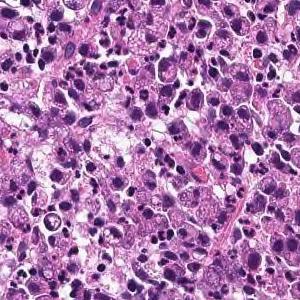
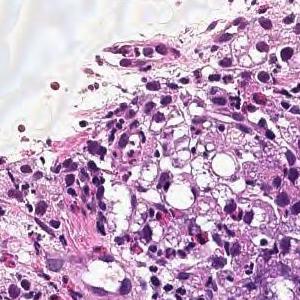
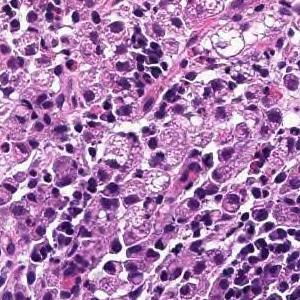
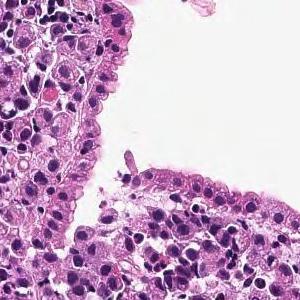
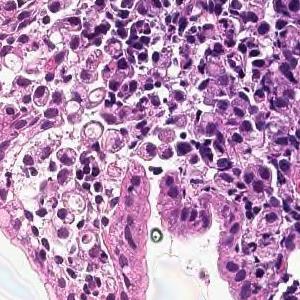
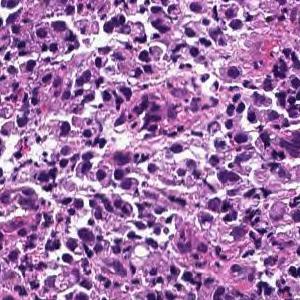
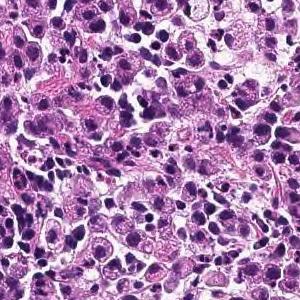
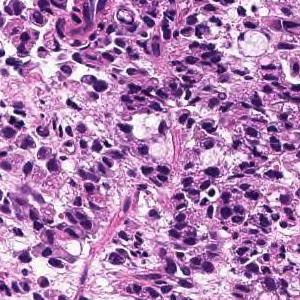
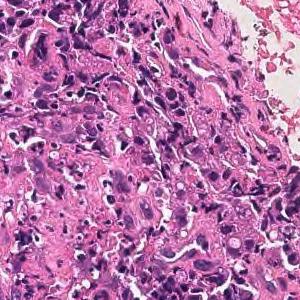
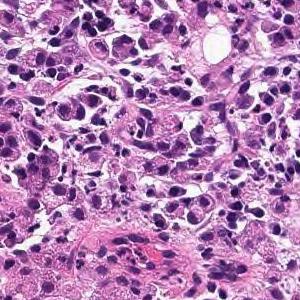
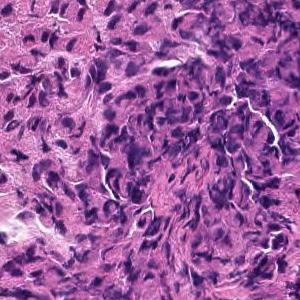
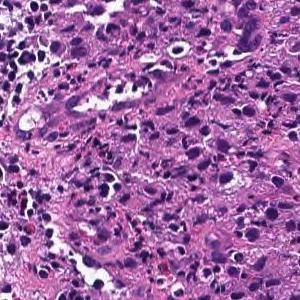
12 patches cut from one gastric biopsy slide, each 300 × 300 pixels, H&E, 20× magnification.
Pathology report for the slide these tiles were cut from. What the report and the diagnosis say applies to the whole slide; these tiles may miss some of the features named and may include tissue that is not tumor.
Tumor tissue consisting of diffusely infiltrated large atypical epithelial cells or signet ring atypical cells is observed in the superficial epithelium. Poorly differentiated adenocarcinoma, solid-type
Classified as poorly differentiated adenocarcinoma, solid type. This name comes from the Japanese Classification of Gastric Carcinoma; the WHO 2019 classification calls it tubular adenocarcinoma, poorly differentiated.
